H&E stain; 13 tiles cut from one stomach biopsy slide; each 300 × 300 pixels.
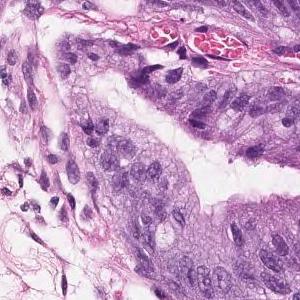
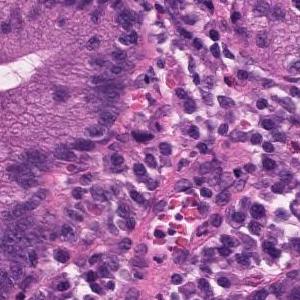
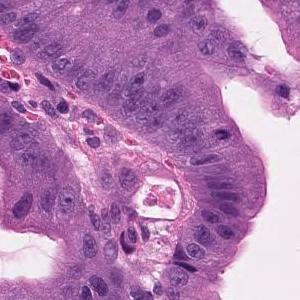
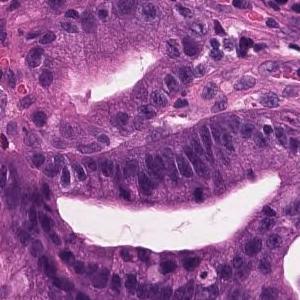
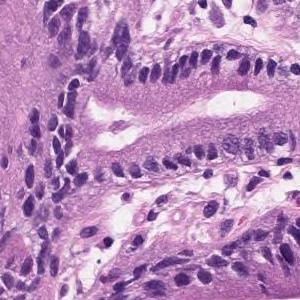
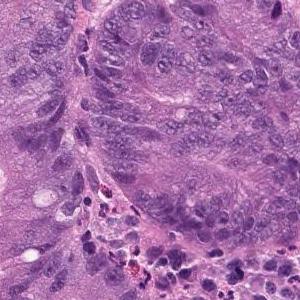
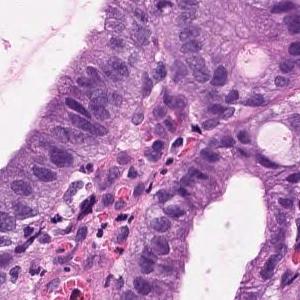
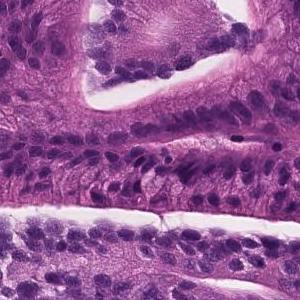
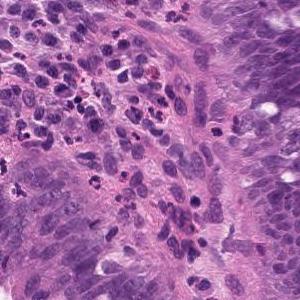
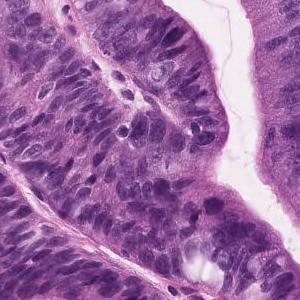
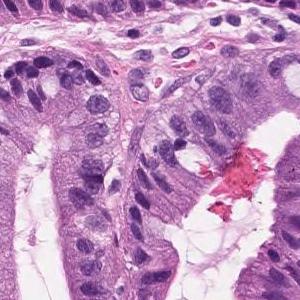
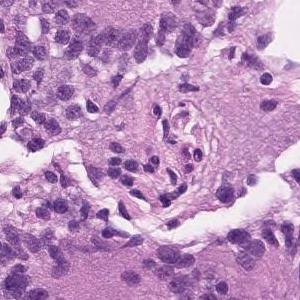
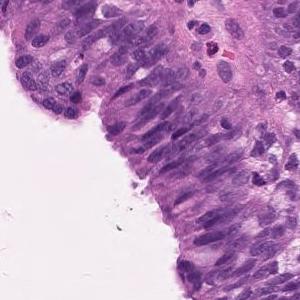
Pathology report for the biopsy slide these tiles were cut from. The findings and the diagnosis refer to the entire slide; these tiles show only part of it, possibly with non-tumor tissue, and may not show every feature named.
On the superficial epithelium, tumor tissue consisting of large, irregular glandular ducts partially fused and infiltrated is observed. Well to moderately differentiated tubular adenocarcinoma (well differentiated tubular adenocarcinoma, moderately differentiated tubular adenocarcinoma)
Subtype: Well to moderately differentiated tubular adenocarcinoma.
